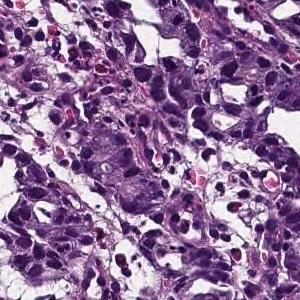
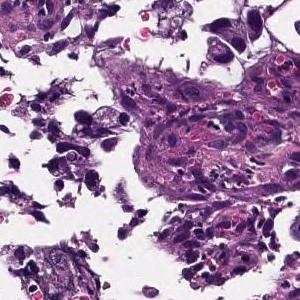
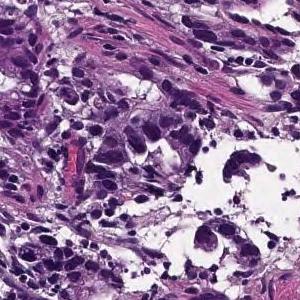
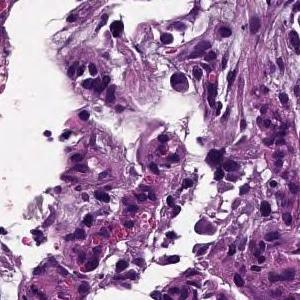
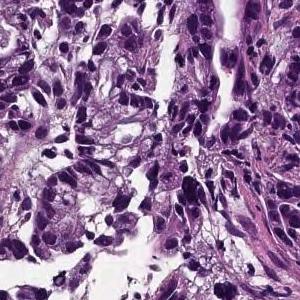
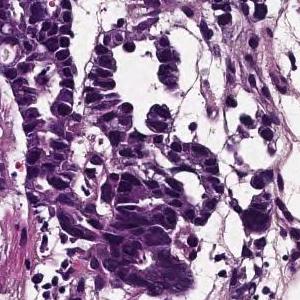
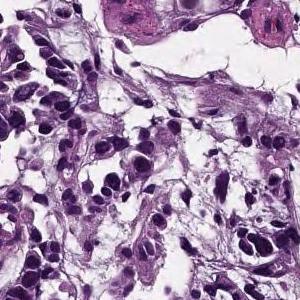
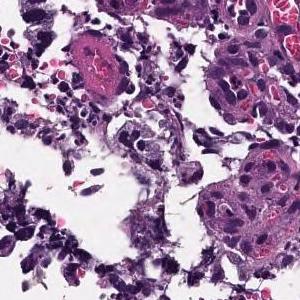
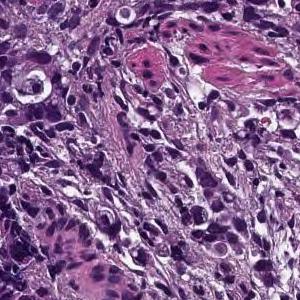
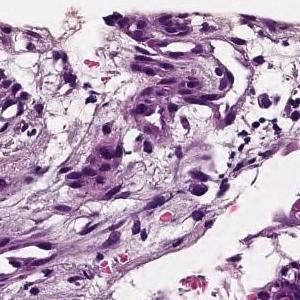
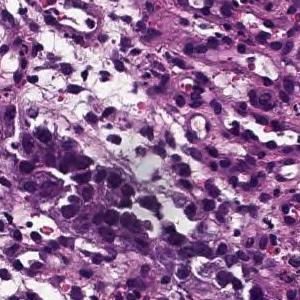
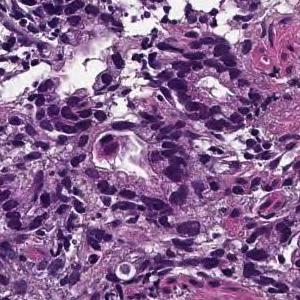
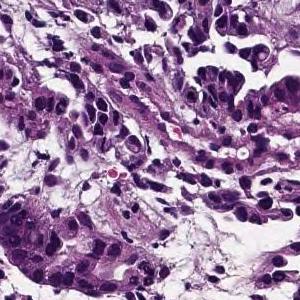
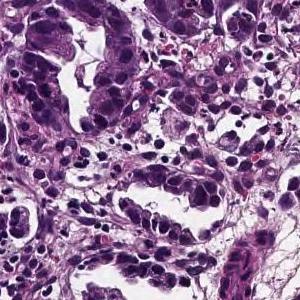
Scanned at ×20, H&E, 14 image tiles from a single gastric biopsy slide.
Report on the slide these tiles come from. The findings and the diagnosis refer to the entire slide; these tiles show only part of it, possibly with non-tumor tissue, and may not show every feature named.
Medium to small, irregular glandular ducts are formed in the superficial epithelium, and in some cases, the glandular ducts are fused to show solid alveolar lesions and infiltrating tumor tissue is observed. Moderately to poorly differentiated adenocarcinoma.
